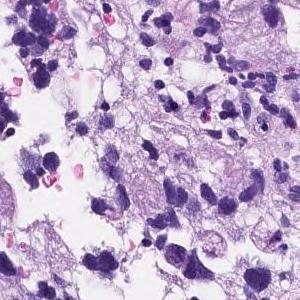
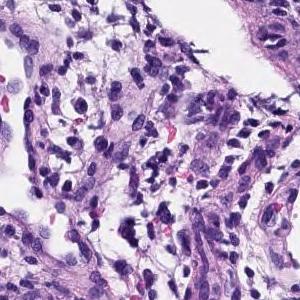
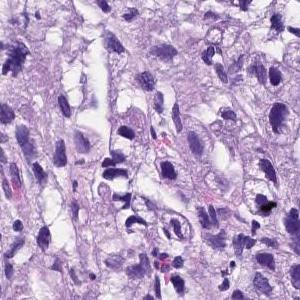
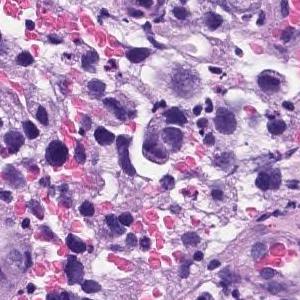
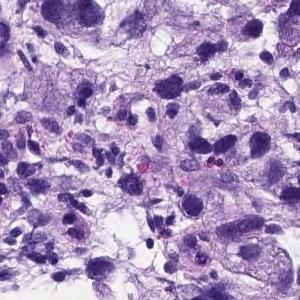
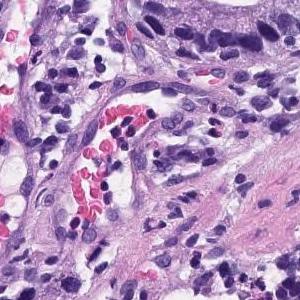
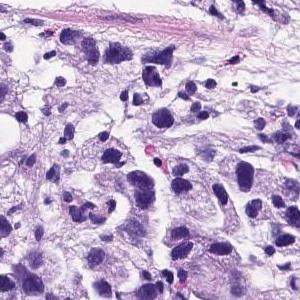
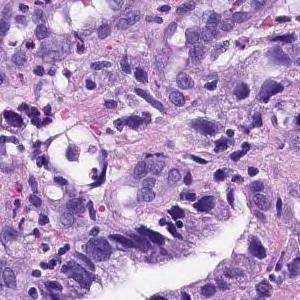
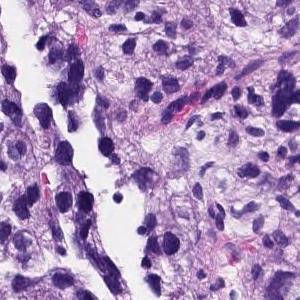
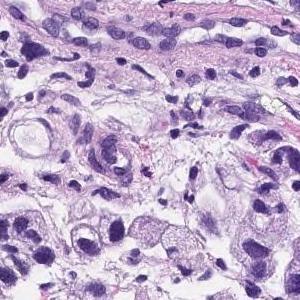
10 tiles from the same stomach biopsy slide · 300×300 px each · H&E stain.
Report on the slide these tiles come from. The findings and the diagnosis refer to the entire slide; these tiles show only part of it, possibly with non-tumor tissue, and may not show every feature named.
Medium to small, irregular glandular ducts are formed in the superficial epithelium, and in some cases, the glandular ducts are fused to show solid alveolar lesions and infiltrating tumor tissue is observed. Poorly differentiated adenocarcinoma, Moderately differentiated adenocarcinoma.
The dataset labels this slide moderately differentiated tubular adenocarcinoma.
